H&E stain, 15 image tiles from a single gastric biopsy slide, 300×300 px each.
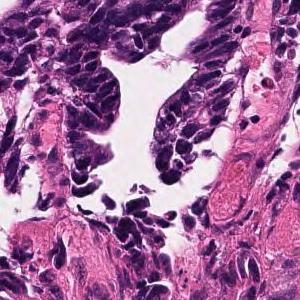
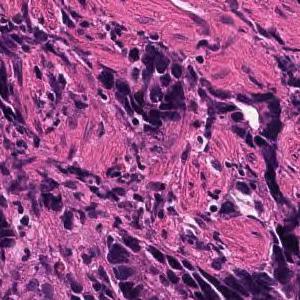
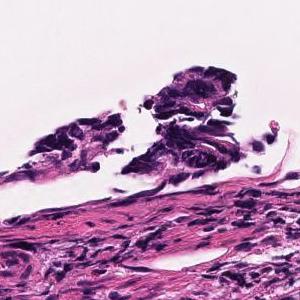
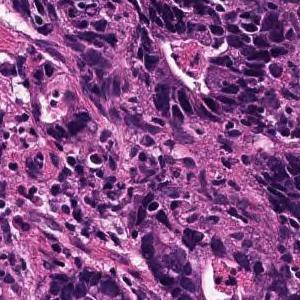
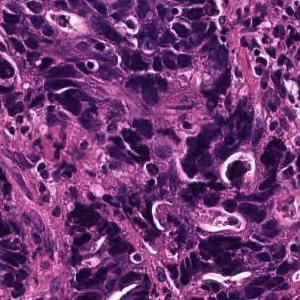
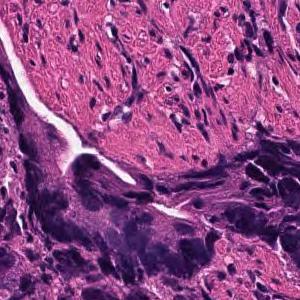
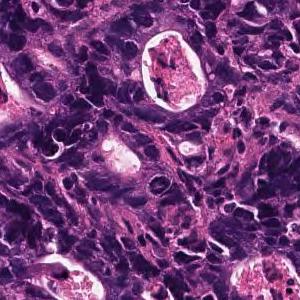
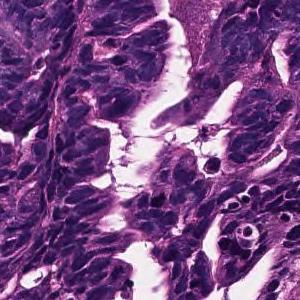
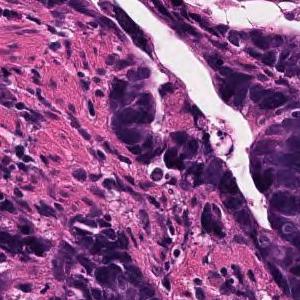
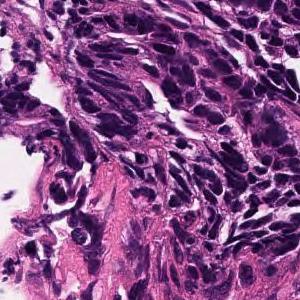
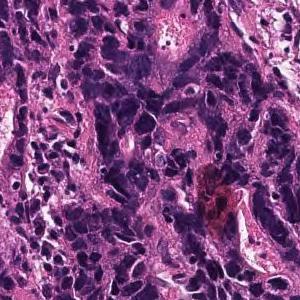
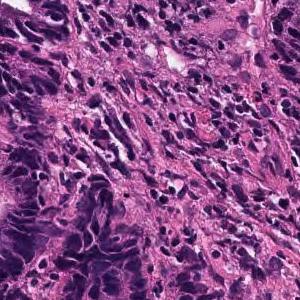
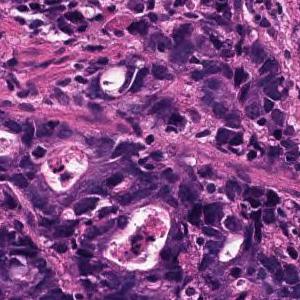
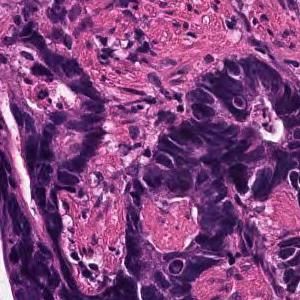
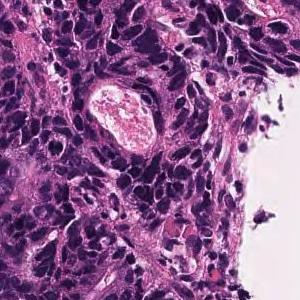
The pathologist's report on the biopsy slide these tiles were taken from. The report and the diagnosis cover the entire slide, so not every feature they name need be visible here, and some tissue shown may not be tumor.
Large and small irregular small glandular ducts forming and infiltrating. moderately differentiated tubular adenocarcinoma
